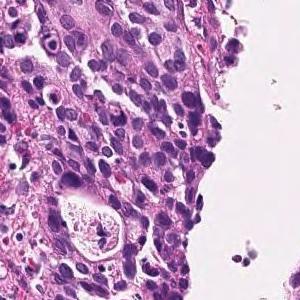
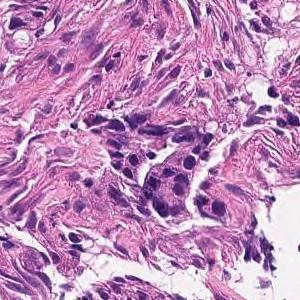
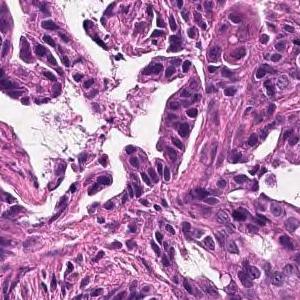
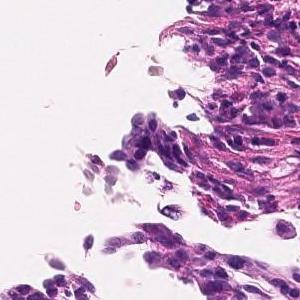
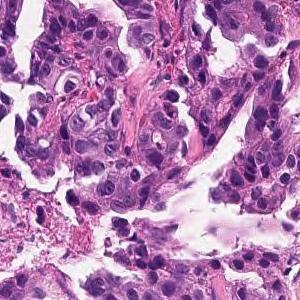
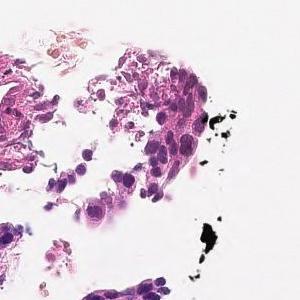
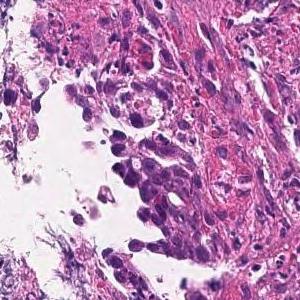
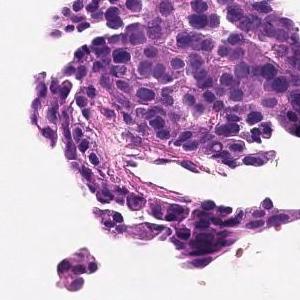
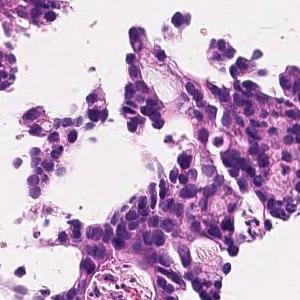
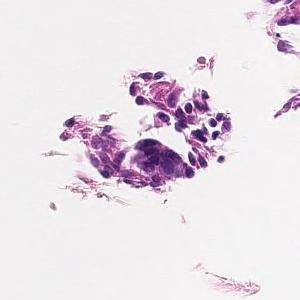
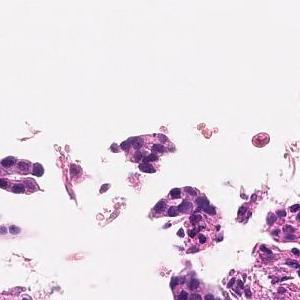
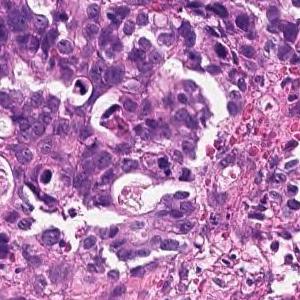
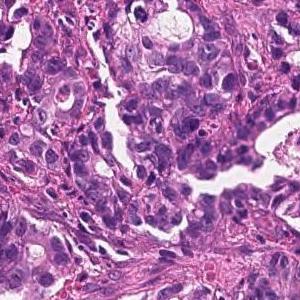
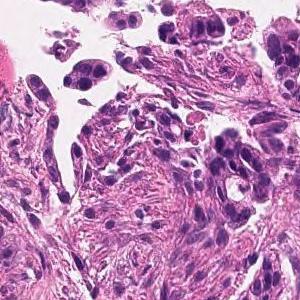
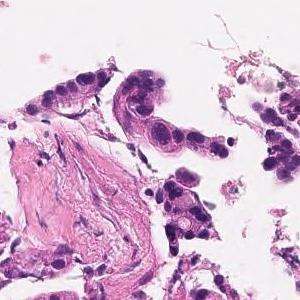
H&E; 15 tiles from the same stomach biopsy slide.
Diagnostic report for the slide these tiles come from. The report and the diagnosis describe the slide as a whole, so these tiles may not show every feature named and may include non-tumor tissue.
On the superficial epithelium, tumor tissue consisting of images of small to medium-sized and irregular tubules infiltrating with irregular fusion is observed. moderately differentiated tubular adenocarcinoma
